H&E, scanned at ×20, 13 patches cut from one gastric biopsy slide, 300 × 300 pixels each.
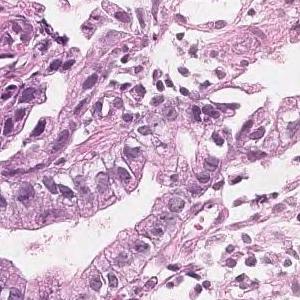
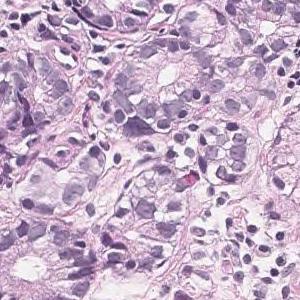
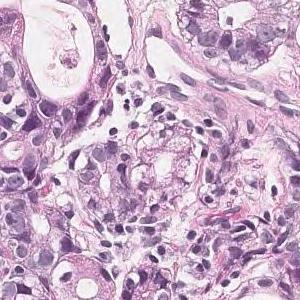
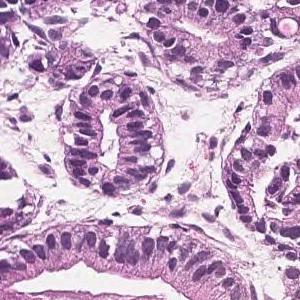
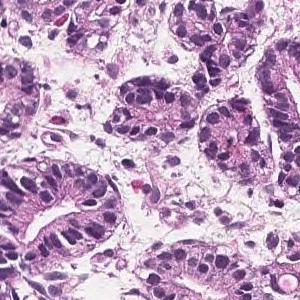
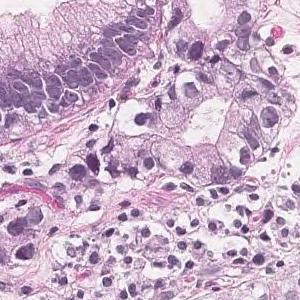
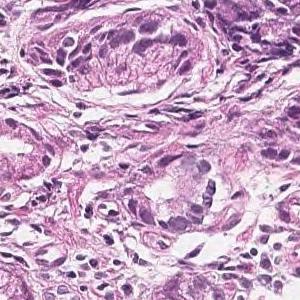
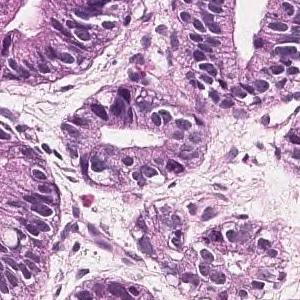
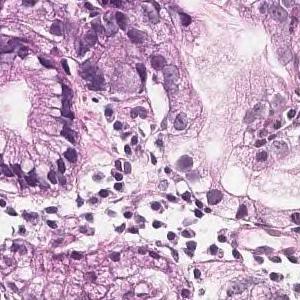
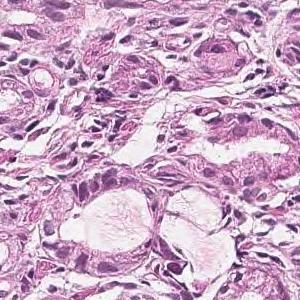
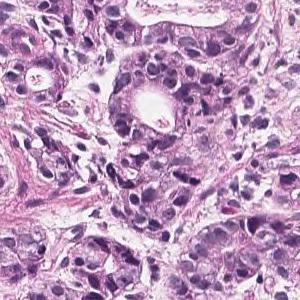
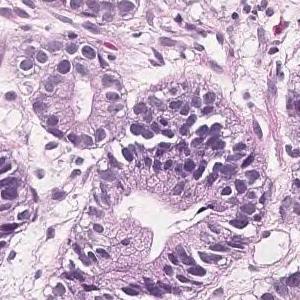
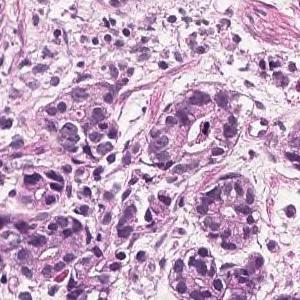
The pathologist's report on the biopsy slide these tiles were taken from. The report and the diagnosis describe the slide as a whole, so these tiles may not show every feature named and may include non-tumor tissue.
In the superficial epithelium, tumor tissue that invades by forming medium-sized to small, irregular ducts is observed. moderately differentiated tubular adenocarcinoma.
